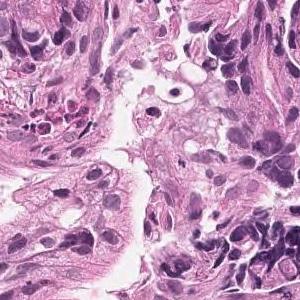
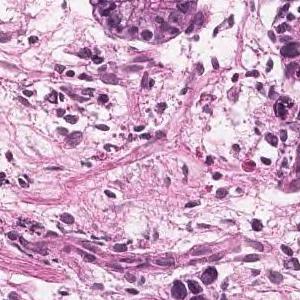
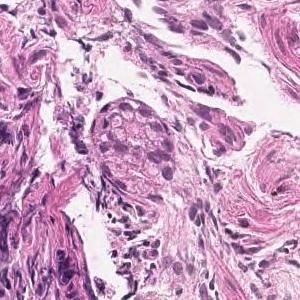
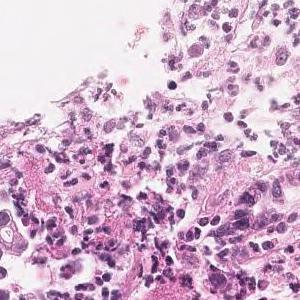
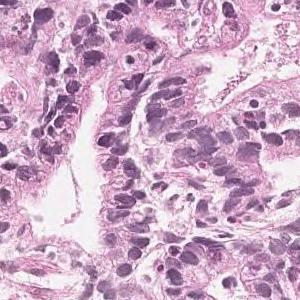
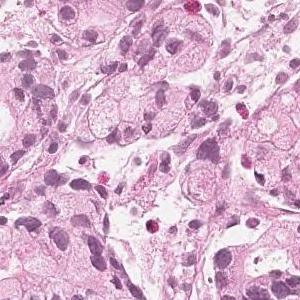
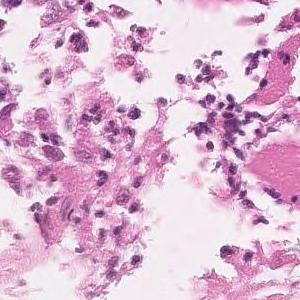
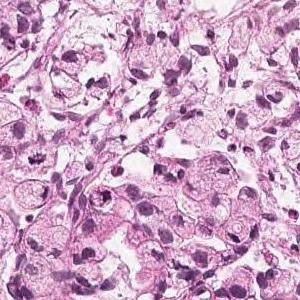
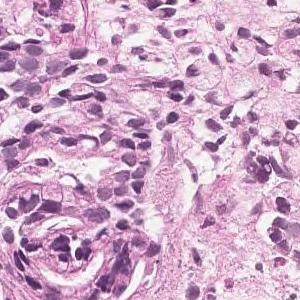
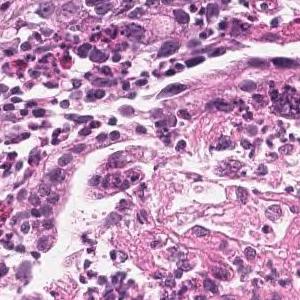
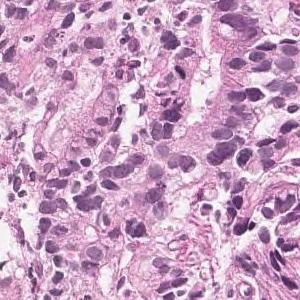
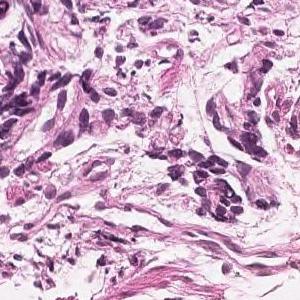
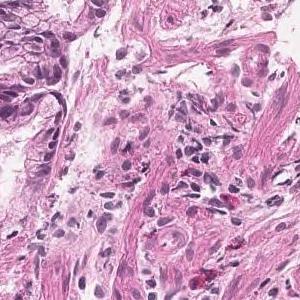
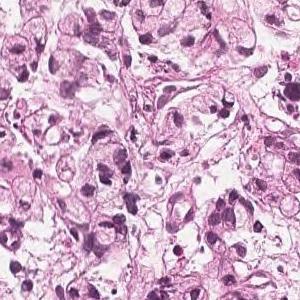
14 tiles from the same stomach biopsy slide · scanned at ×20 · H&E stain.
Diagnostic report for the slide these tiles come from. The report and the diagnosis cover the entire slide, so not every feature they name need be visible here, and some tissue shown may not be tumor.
In the superficial epithelium, medium to small irregular gland ducts are formed, and in some cases, the ducts are fused to show solid alveolar lesions and infiltrating tumor tissue is observed. Moderately to poorly differentiated adenocarcinoma
